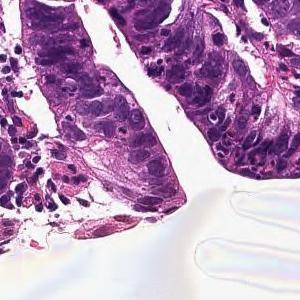
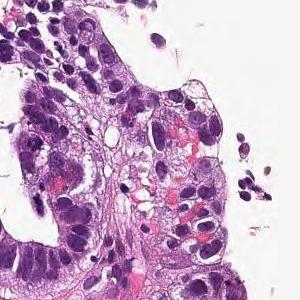
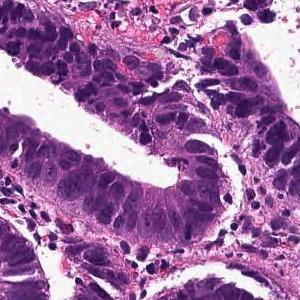
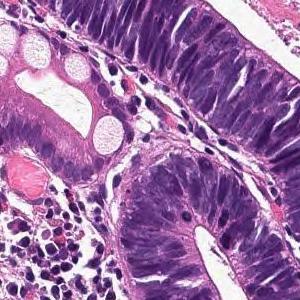
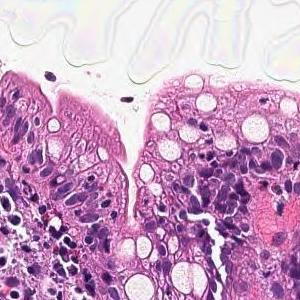
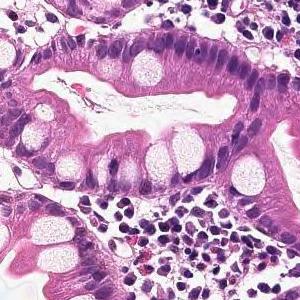
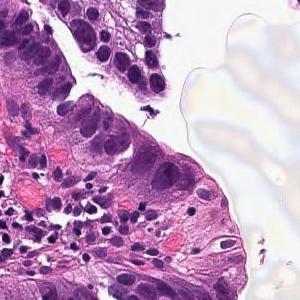
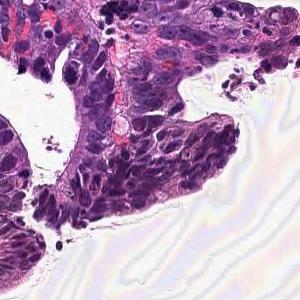
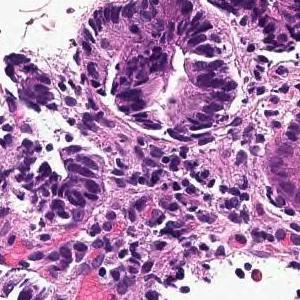
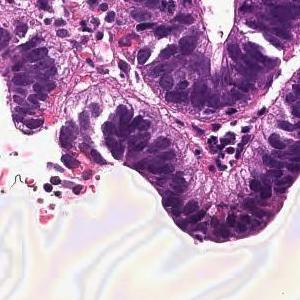
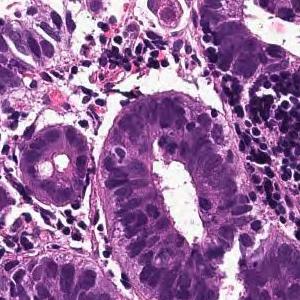
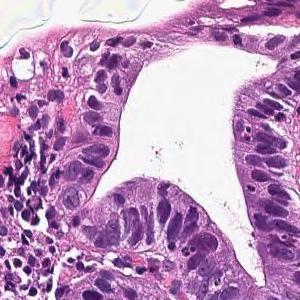
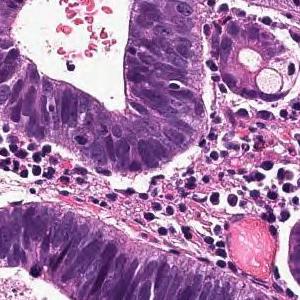
20× magnification · 13 tiles cut from one stomach biopsy slide.
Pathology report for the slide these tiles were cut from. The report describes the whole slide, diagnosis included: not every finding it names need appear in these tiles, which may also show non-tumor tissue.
Tumor cells are large, highly columnar, large club-shaped nuclei, and are associated with chromatin aggregation. Papillary adenocarcinoma.
